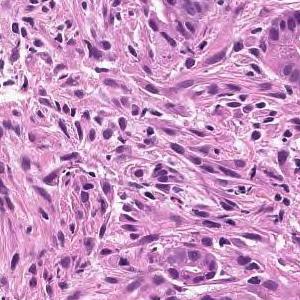
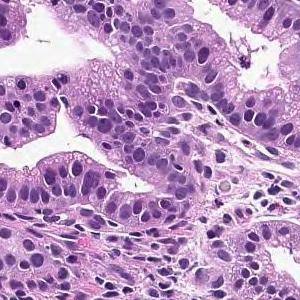
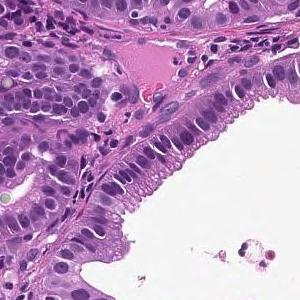
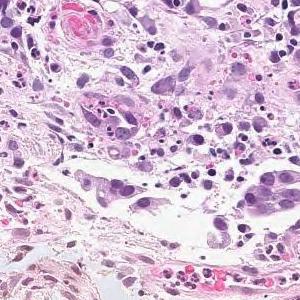
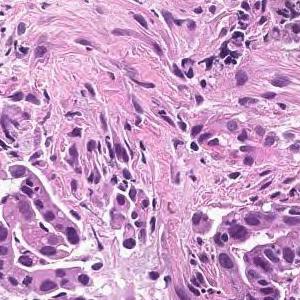
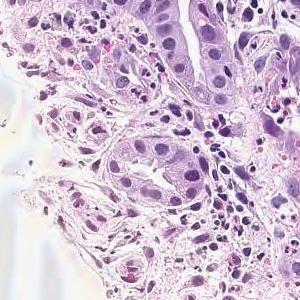
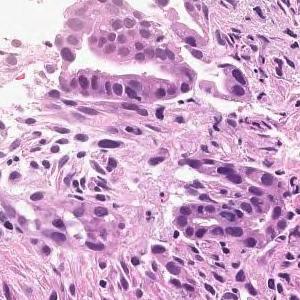
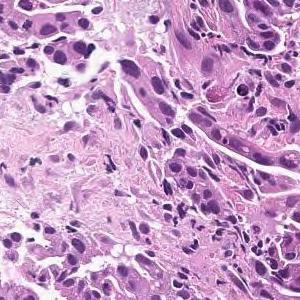
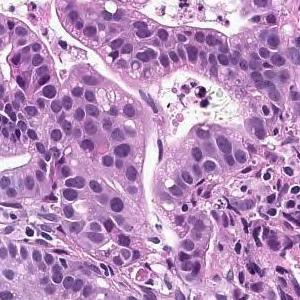
9 tiles cut from one stomach biopsy slide; 300×300 px each; ×20; H&E.
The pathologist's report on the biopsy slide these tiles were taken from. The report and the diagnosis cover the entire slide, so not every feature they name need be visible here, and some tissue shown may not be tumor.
On the superficial epithelium, tumor tissue that infiltrates by forming medium-sized papillary or small irregular ducts is observed. Papillary adenocarcinoma
